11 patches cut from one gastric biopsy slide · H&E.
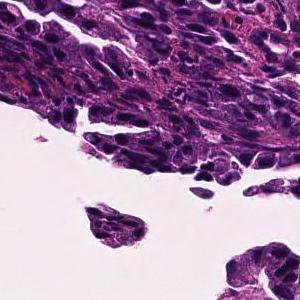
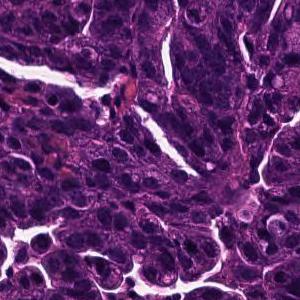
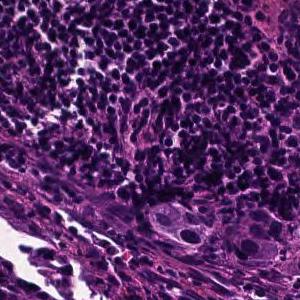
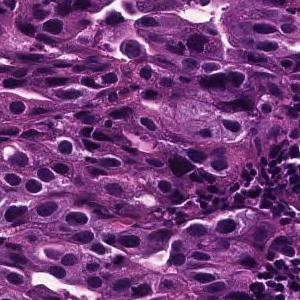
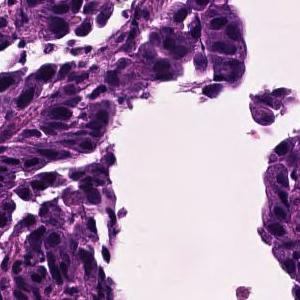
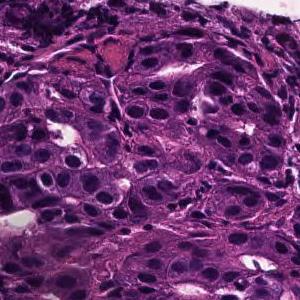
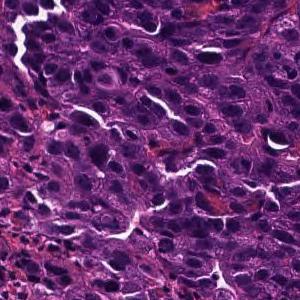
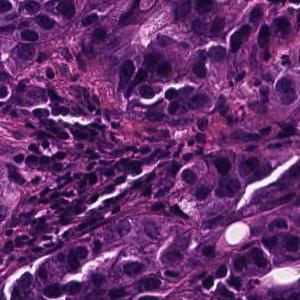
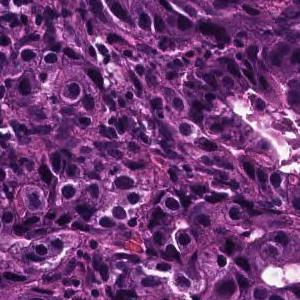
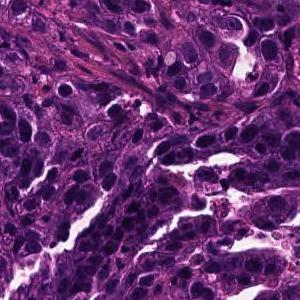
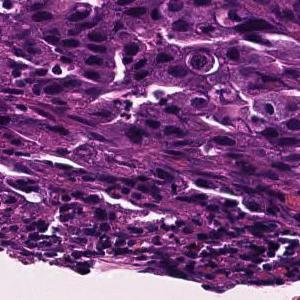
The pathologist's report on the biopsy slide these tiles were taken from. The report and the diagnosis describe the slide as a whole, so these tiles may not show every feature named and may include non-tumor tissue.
Tumor tissue consisting of medium-sized, cord-like or irregular glandular fusion and infiltration is observed in the superficial epithelium. Poorly differentiated adenocarcinoma, non-solid type or moderately differentiated tubular adenocarcinoma
Subtype: Moderately to poorly differentiated adenocarcinoma.
The term "non-solid type" comes from the Japanese Classification of Gastric Carcinoma.
